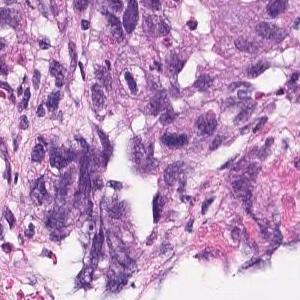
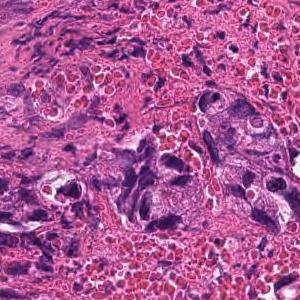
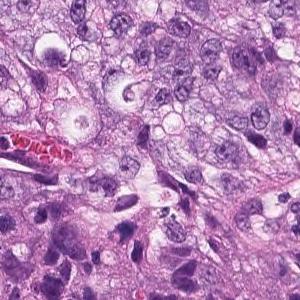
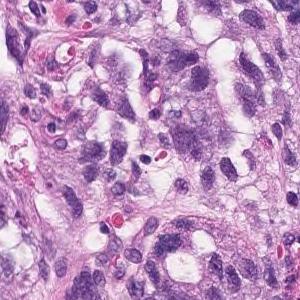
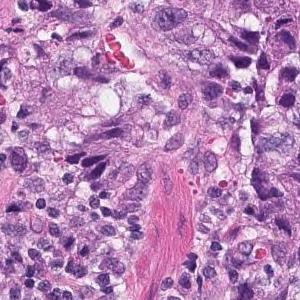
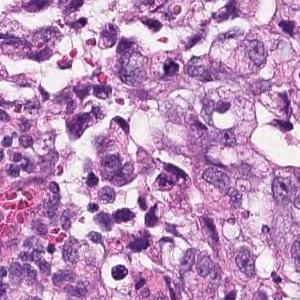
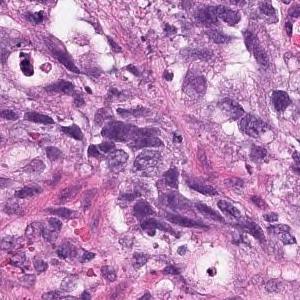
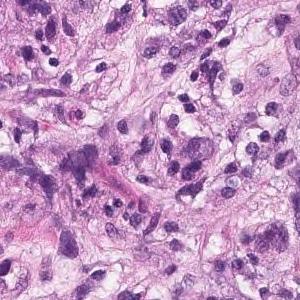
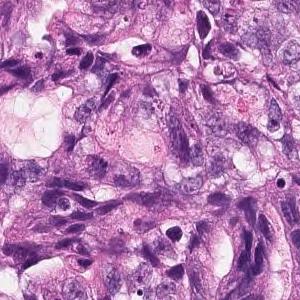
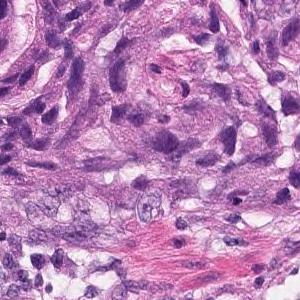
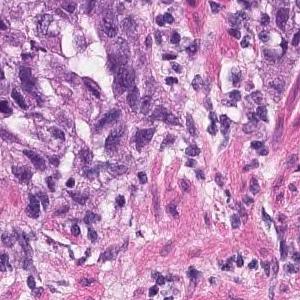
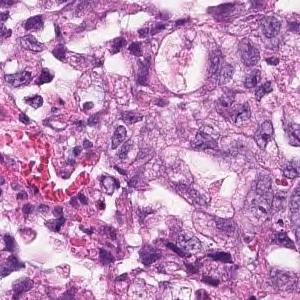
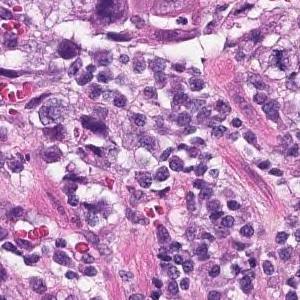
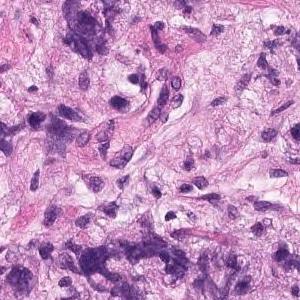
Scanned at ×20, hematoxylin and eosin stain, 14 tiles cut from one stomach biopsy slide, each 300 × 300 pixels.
Report on the slide these tiles come from. Both the report and the diagnosis are for the whole slide: these tiles need not show every feature named, and some of the tissue shown may not be tumor.
The superficial epithelium shows a large sheet-like shape, and some tumor tissue infiltrates with small irregular ducts. Poorly differentiated adenocarcinoma, solid-type
Histologic type: Poorly differentiated adenocarcinoma, solid type, a category of the Japanese Classification of Gastric Carcinoma; in the WHO 2019 classification it is tubular adenocarcinoma, poorly differentiated.
